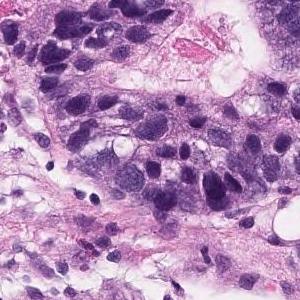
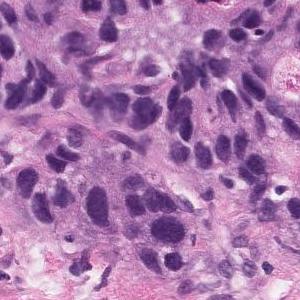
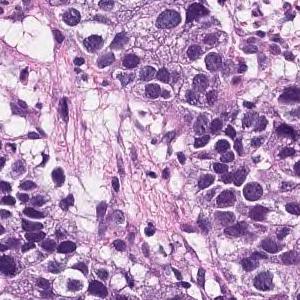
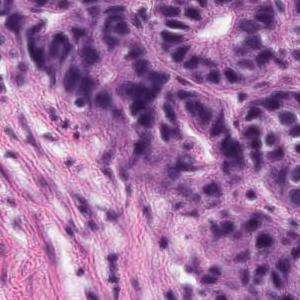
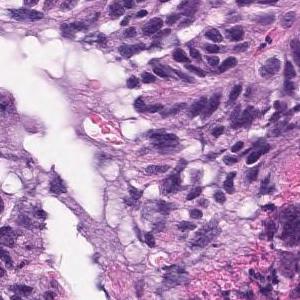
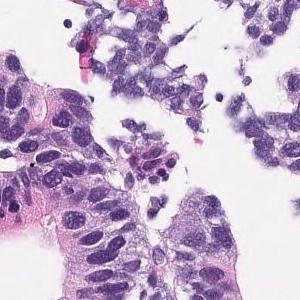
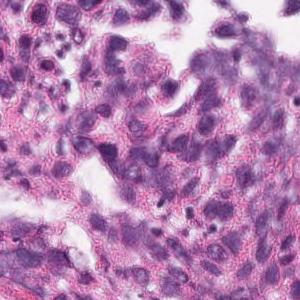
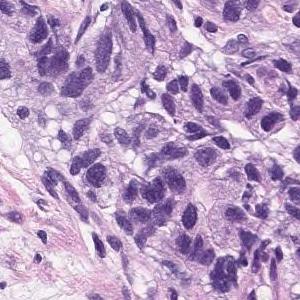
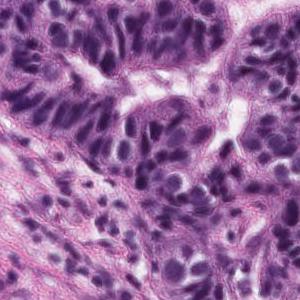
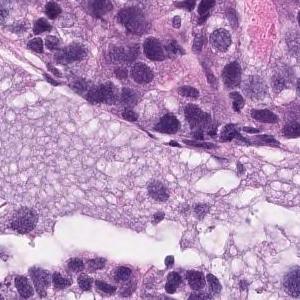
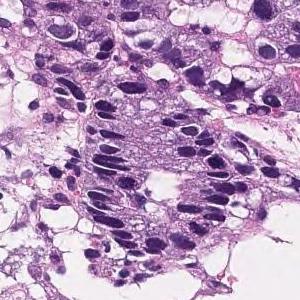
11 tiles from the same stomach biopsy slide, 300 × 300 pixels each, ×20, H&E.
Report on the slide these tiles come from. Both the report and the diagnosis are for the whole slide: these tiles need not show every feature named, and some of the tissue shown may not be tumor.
Medium to small, irregular glandular ducts are formed in the superficial epithelium, and in some cases, the glandular ducts are fused to show solid alveolar lesions and infiltrating tumor tissue is observed. Moderately to poorly differentiated adenocarcinoma.
